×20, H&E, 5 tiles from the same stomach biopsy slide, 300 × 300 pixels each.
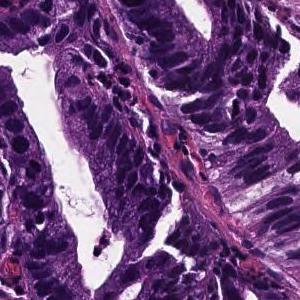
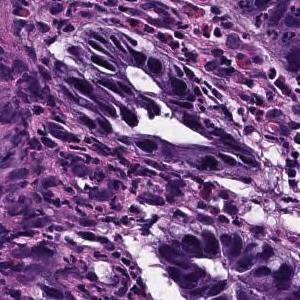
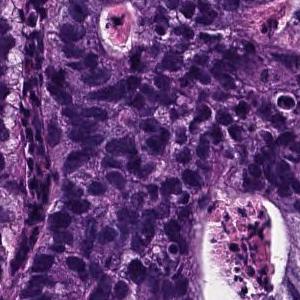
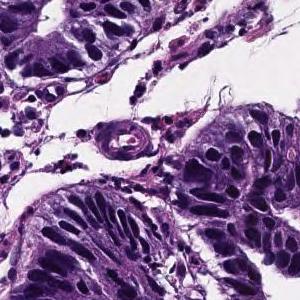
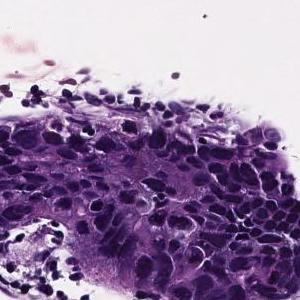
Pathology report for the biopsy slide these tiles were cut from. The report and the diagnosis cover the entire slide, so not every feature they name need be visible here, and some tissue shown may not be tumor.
In the superficial epithelium, tumor tissue that invades by forming medium-sized to small, irregular ducts is observed. Moderately differentiated adenocarcinoma.
Histologic type: Moderately differentiated tubular adenocarcinoma.
